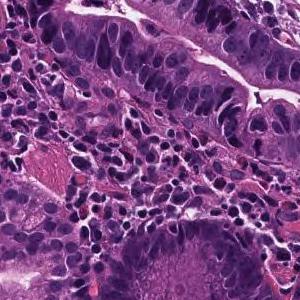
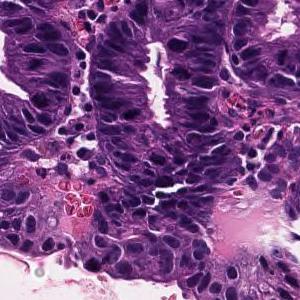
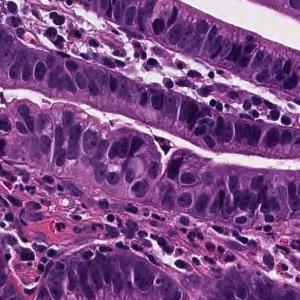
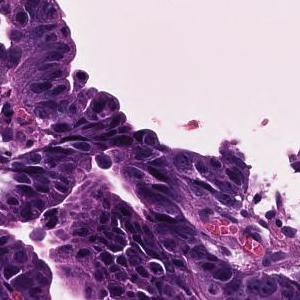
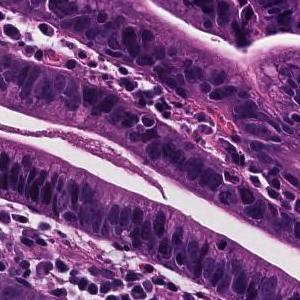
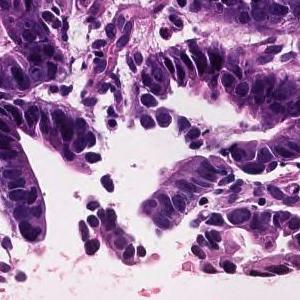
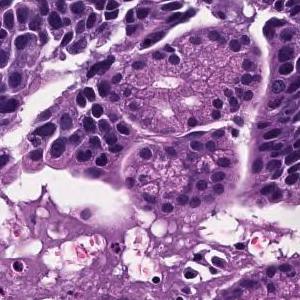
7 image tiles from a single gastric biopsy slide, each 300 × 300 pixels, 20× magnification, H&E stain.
Pathology report for the biopsy slide these tiles were cut from. The findings and the diagnosis refer to the entire slide; these tiles show only part of it, possibly with non-tumor tissue, and may not show every feature named.
On the superficial epithelium, tumor tissue consisting of growth of medium-sized to large-sized, round or irregular glandular ducts is observed. Well differentiated tubular adenocarcinoma
